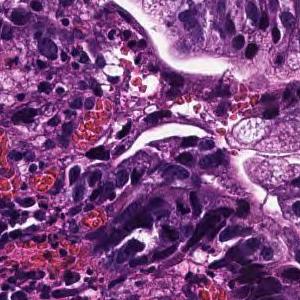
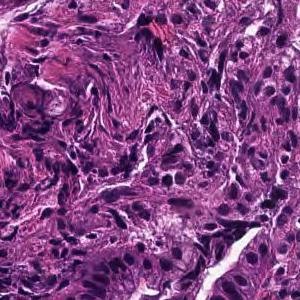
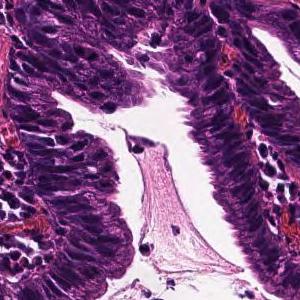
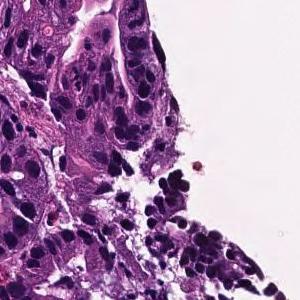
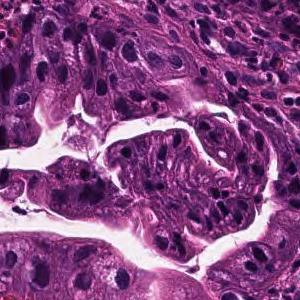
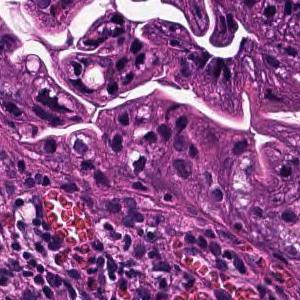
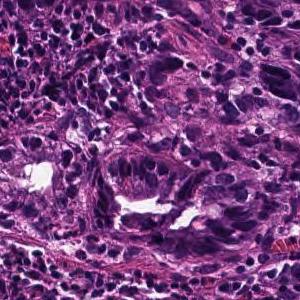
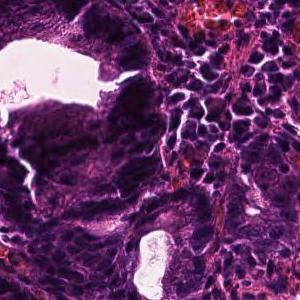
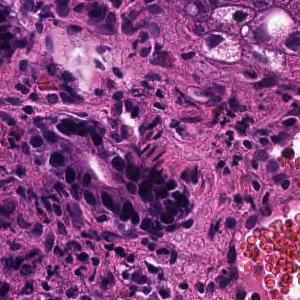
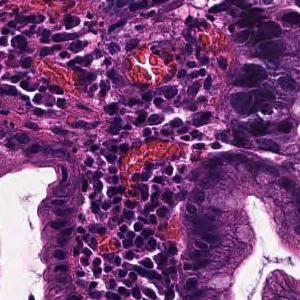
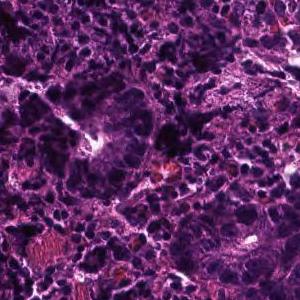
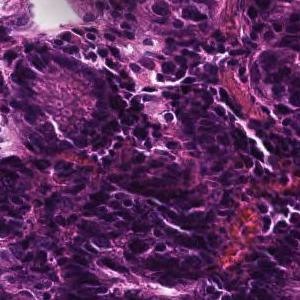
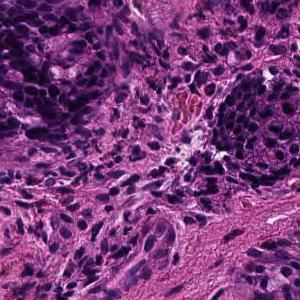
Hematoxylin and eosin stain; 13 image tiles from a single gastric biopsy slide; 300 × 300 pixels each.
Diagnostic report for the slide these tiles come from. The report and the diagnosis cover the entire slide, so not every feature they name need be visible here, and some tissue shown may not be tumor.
In the superficial epithelium, tumor tissue that invades by forming medium-sized to small, irregular ducts is observed. moderately differentiated tubular adenocarcinoma.
